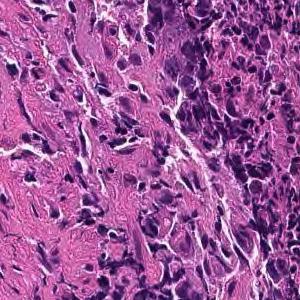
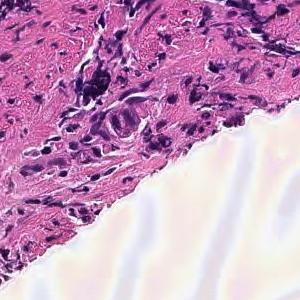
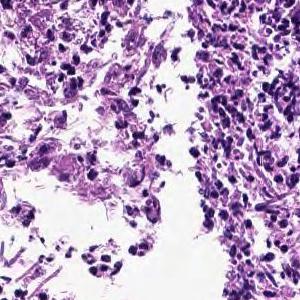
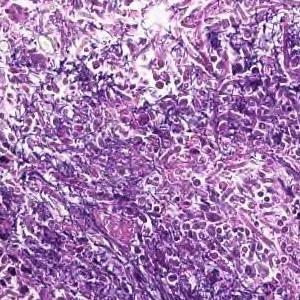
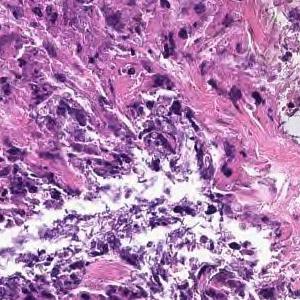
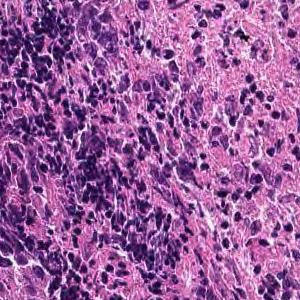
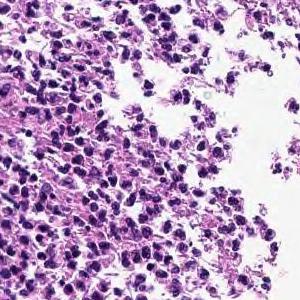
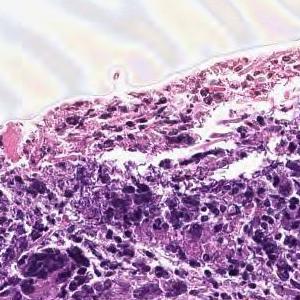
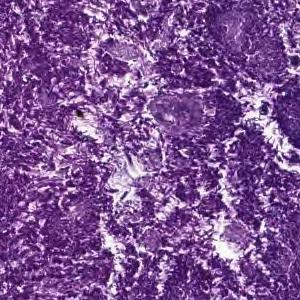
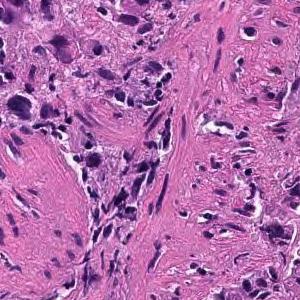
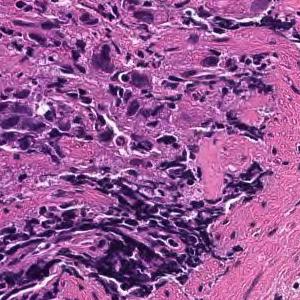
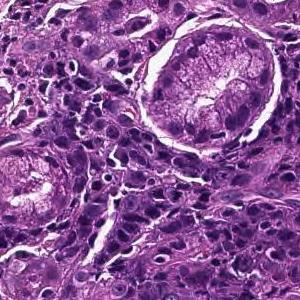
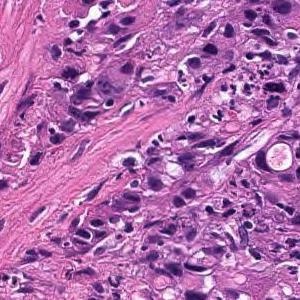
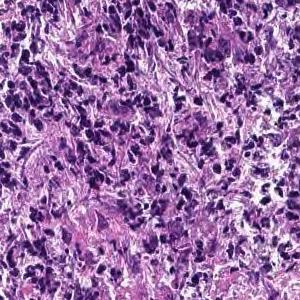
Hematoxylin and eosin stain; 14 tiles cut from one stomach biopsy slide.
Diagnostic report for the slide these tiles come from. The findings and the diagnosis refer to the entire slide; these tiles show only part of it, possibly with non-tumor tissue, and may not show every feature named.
Cancers with polygonal nuclei do not show glandular formation and are densely, in part, cord-like and proliferate. Poorly differentiated adenocarcinoma
Histological subtype: Poorly differentiated adenocarcinoma, non-solid type.
"Non-solid type" is a category of the Japanese Classification of Gastric Carcinoma.
